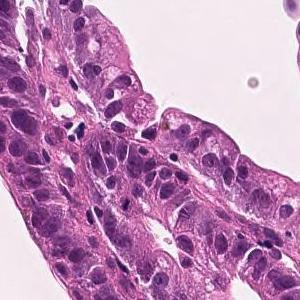
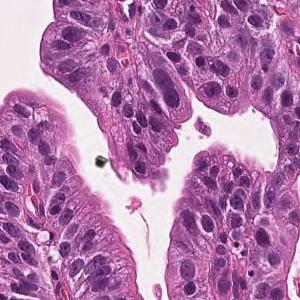
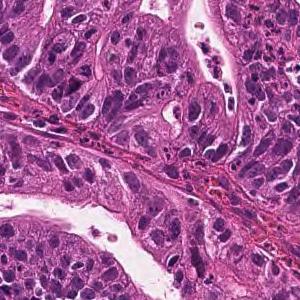
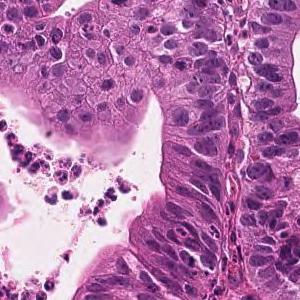
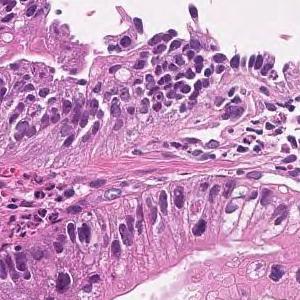
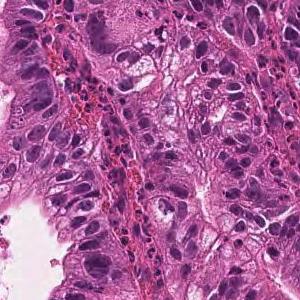
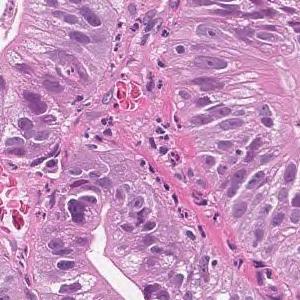
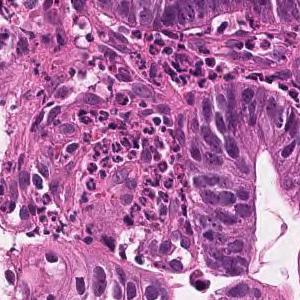
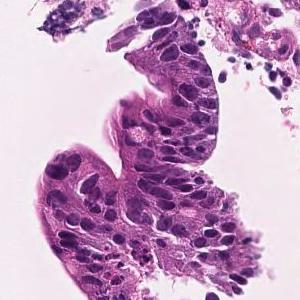
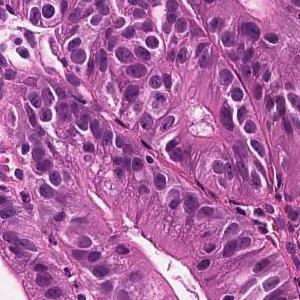
20× magnification · 10 tiles cut from one stomach biopsy slide.
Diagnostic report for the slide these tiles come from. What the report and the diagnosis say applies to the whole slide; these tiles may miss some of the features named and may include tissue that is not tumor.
Tumor cells are large, highly columnar, large club-shaped nuclei, and are associated with chromatin aggregation. Papillary adenocarcinoma.
